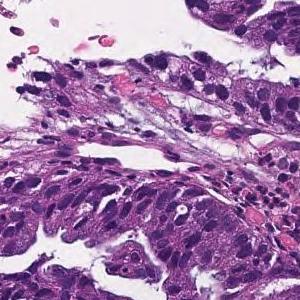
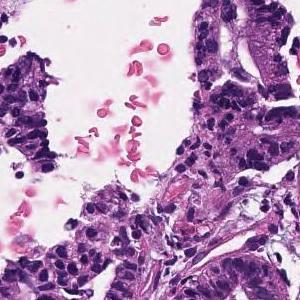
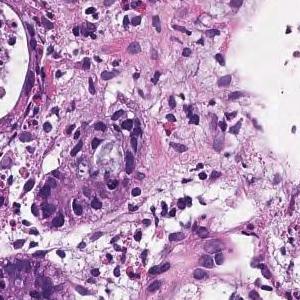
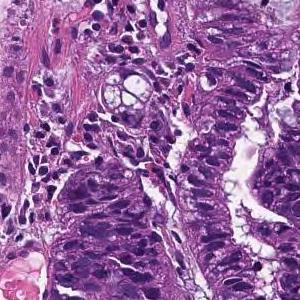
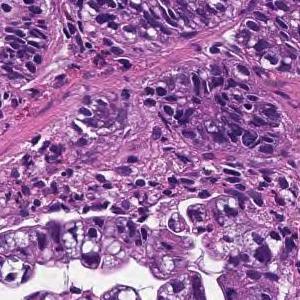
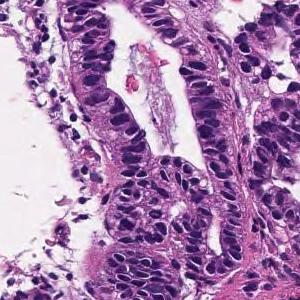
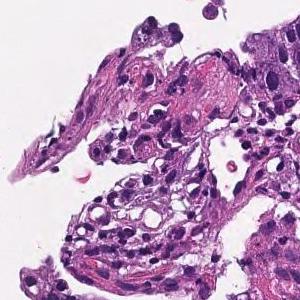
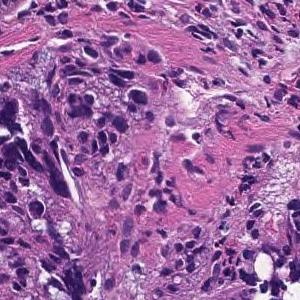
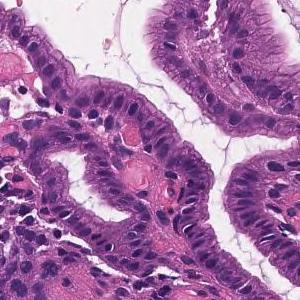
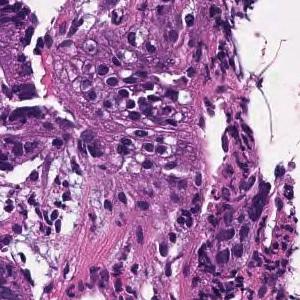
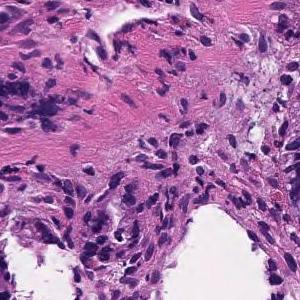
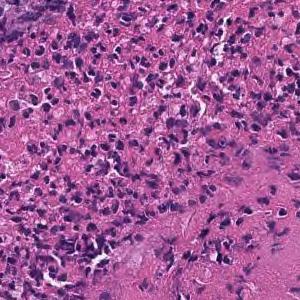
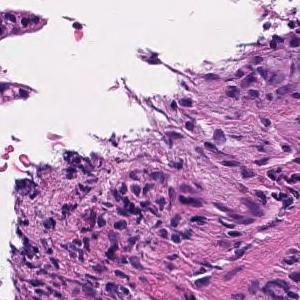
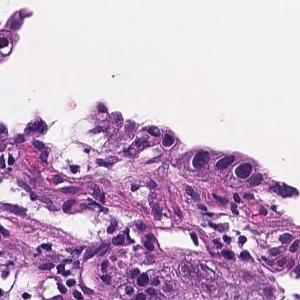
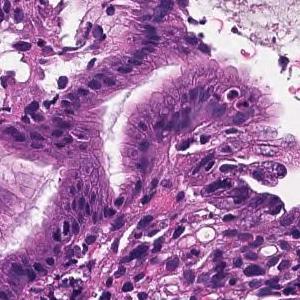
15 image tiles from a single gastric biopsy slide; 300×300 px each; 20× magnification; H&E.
Diagnostic report for the slide these tiles come from. The report describes the whole slide, diagnosis included: not every finding it names need appear in these tiles, which may also show non-tumor tissue.
From the superficial epithelium to the muscularis mucosae, tumor tissue consisting of medium-sized and irregular glandular ducts infiltrating is observed. Well differentiated tubular adenocarcinoma
